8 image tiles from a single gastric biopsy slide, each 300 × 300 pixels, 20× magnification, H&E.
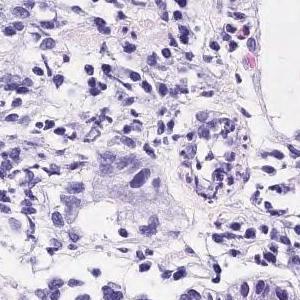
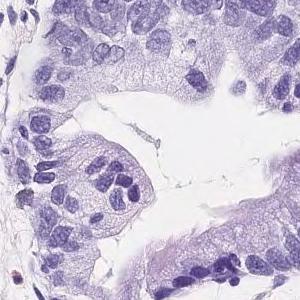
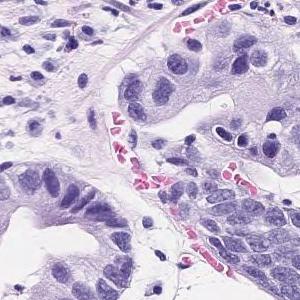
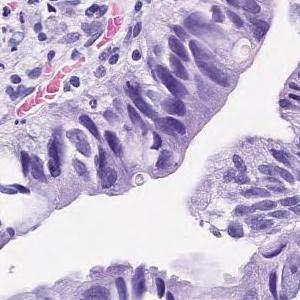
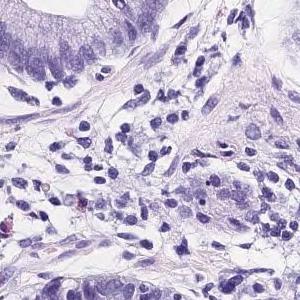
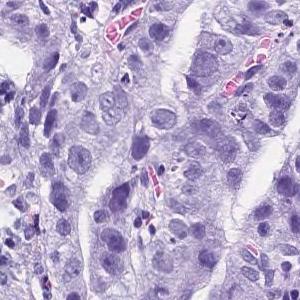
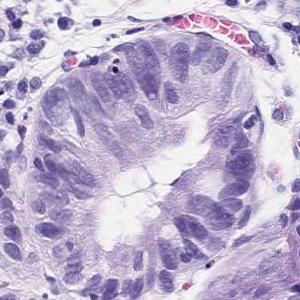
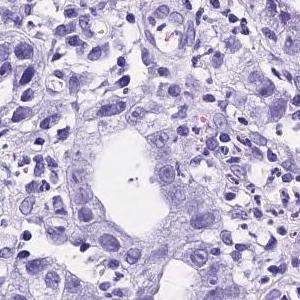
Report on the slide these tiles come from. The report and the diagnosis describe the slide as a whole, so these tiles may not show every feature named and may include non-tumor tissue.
Tumor tissue consisting of medium-sized and irregular ducts is observed infiltrating in the superficial epithelium. Tumor cells are highly columnar, with nuclei aligned basolaterally and polarized. Well differentiated tubular adenocarcinoma.
